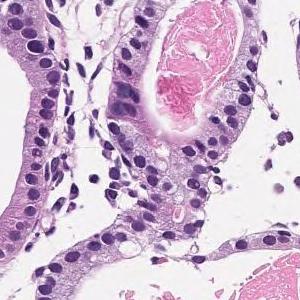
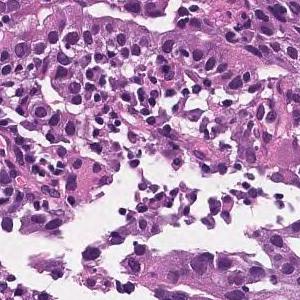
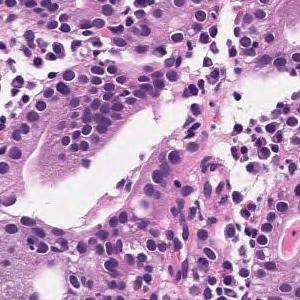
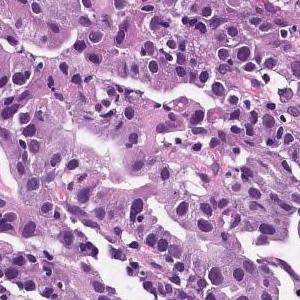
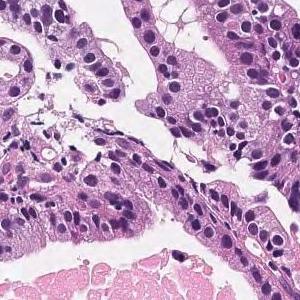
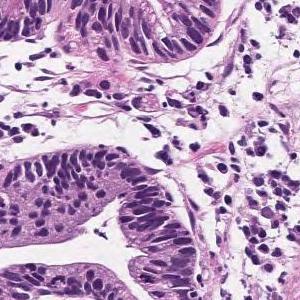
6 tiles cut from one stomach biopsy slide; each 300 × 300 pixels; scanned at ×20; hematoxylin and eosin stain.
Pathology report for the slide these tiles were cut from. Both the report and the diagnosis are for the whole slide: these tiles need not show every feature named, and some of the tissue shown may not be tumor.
Medium to small, irregular glandular ducts are formed in the superficial epithelium, and in some cases, the glandular ducts are fused to show solid alveolar lesions and infiltrating tumor tissue is observed. Moderately to poorly differentiated adenocarcinoma.
